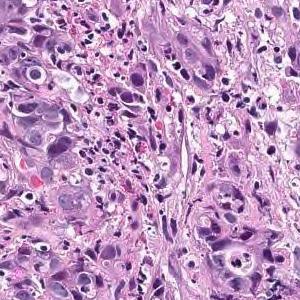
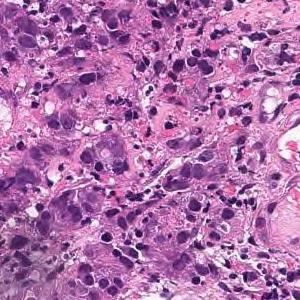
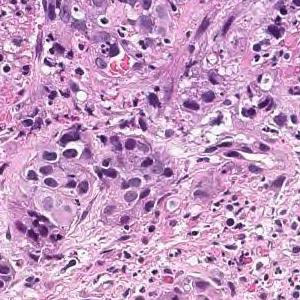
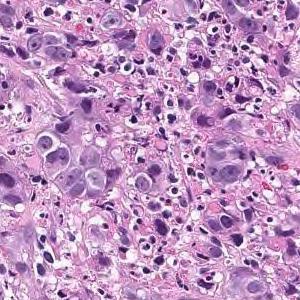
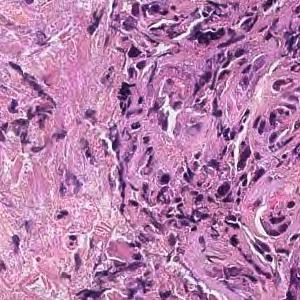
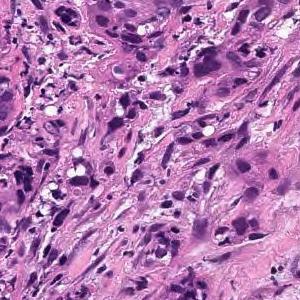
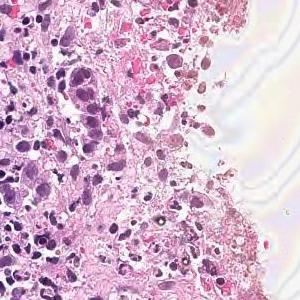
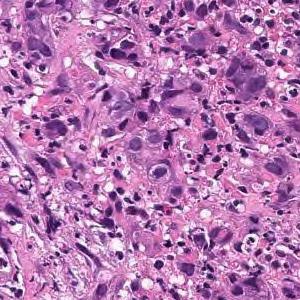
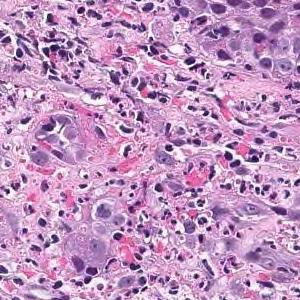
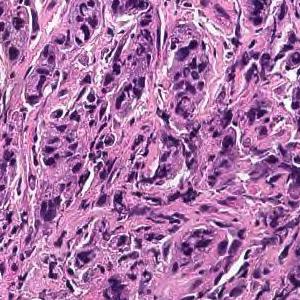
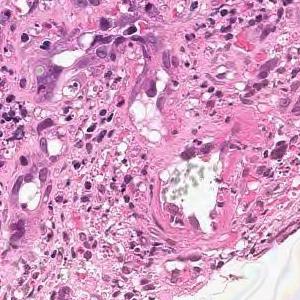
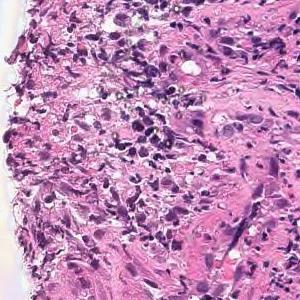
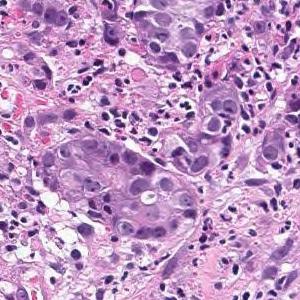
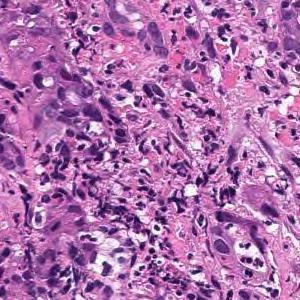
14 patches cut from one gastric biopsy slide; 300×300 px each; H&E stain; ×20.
Report on the slide these tiles come from. The findings and the diagnosis refer to the entire slide; these tiles show only part of it, possibly with non-tumor tissue, and may not show every feature named.
Tumor tissue consisting of cord-like or small, irregular glandular ducts fused and infiltrated is observed in the superficial epithelium. Poorly differentiated adenocarcinoma, non-solid type
The non-solid type named here is a Japanese Classification of Gastric Carcinoma category.
